12 patches cut from one gastric biopsy slide, H&E stain.
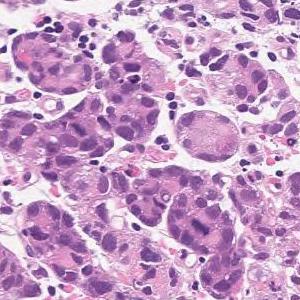
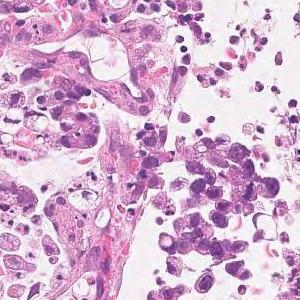
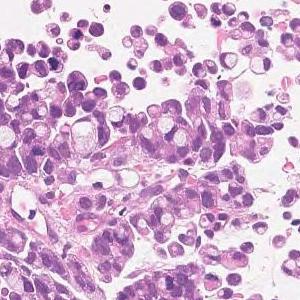
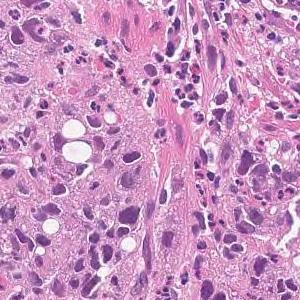
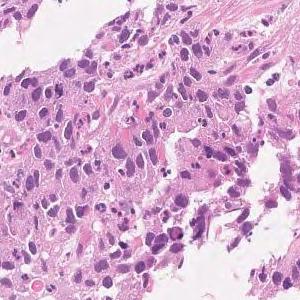
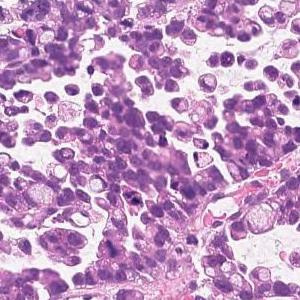
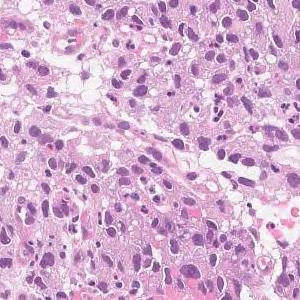
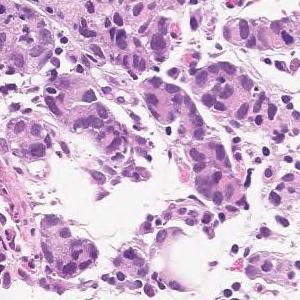
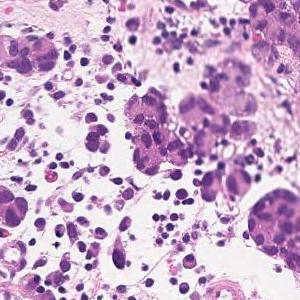
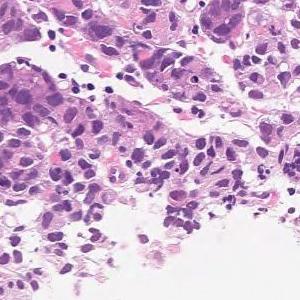
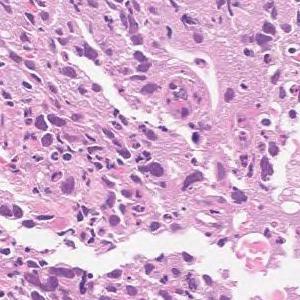
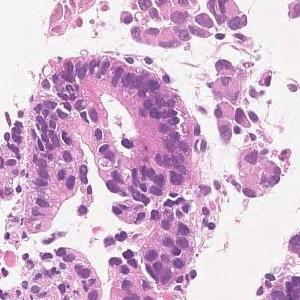
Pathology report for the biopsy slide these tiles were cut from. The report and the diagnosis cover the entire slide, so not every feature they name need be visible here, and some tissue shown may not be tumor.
Medium to small, irregular glandular ducts are formed in the superficial epithelium, and in some cases, the glandular ducts are fused to show solid alveolar lesions and infiltrating tumor tissue is observed. Moderately to poorly differentiated adenocarcinoma.
